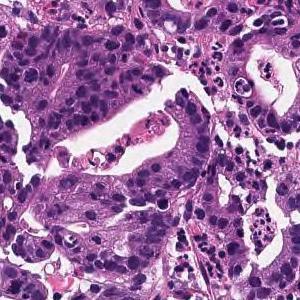
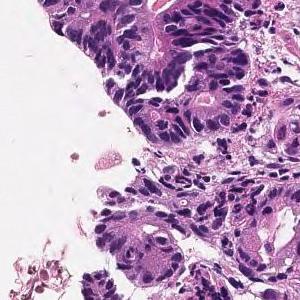
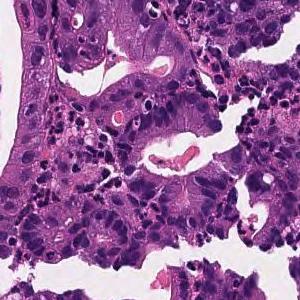
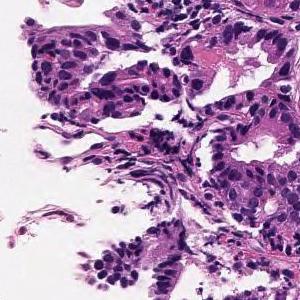
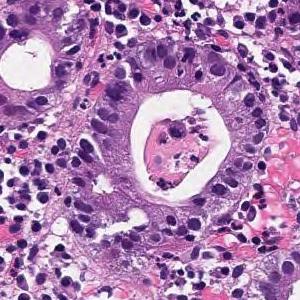
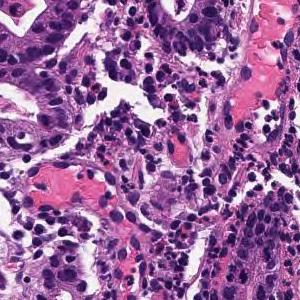
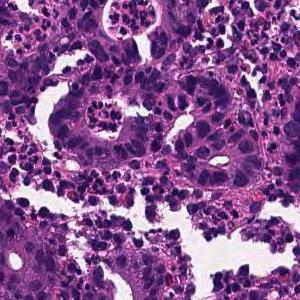
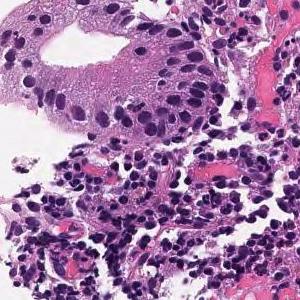
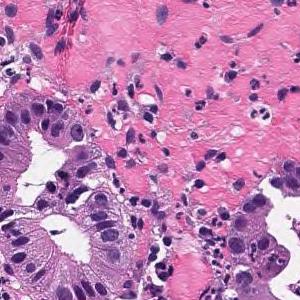
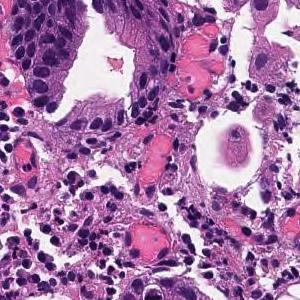
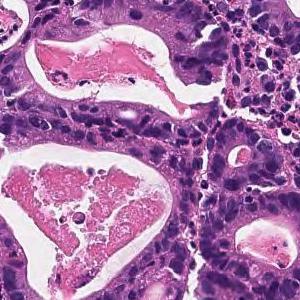
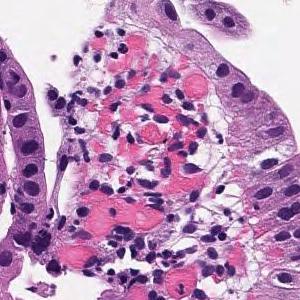
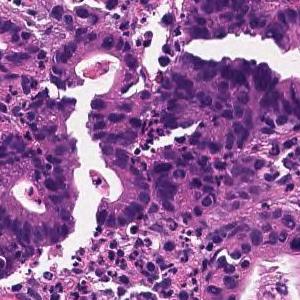
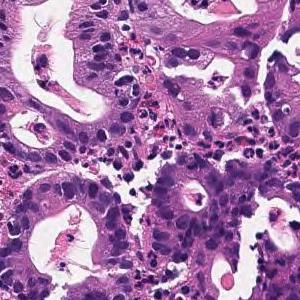
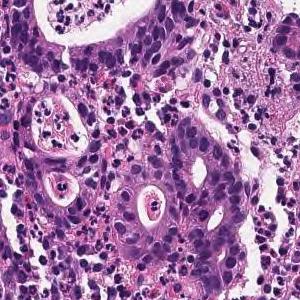
H&E · 15 tiles cut from one stomach biopsy slide · each 300 × 300 pixels.
Pathology report for the biopsy slide these tiles were cut from. The report and the diagnosis describe the slide as a whole, so these tiles may not show every feature named and may include non-tumor tissue.
In the superficial epithelium, tumor tissue that invades by forming medium-sized to small, irregular ducts is observed. moderately differentiated tubular adenocarcinoma.
